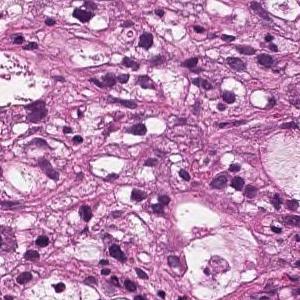
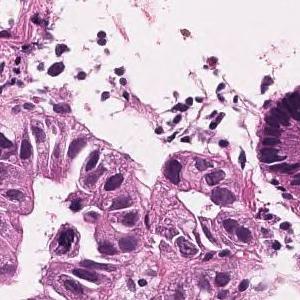
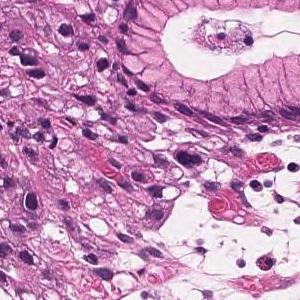
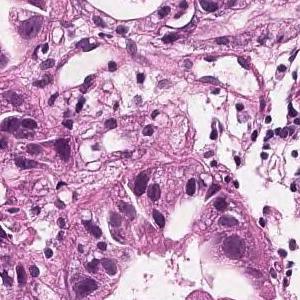
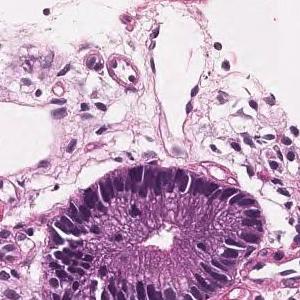
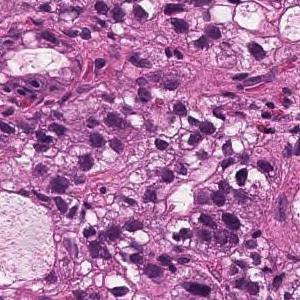
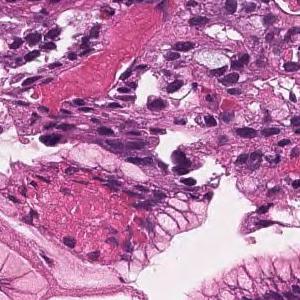
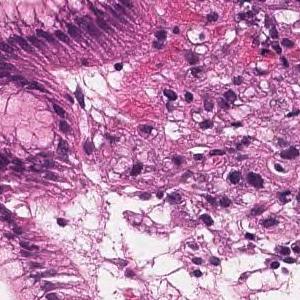
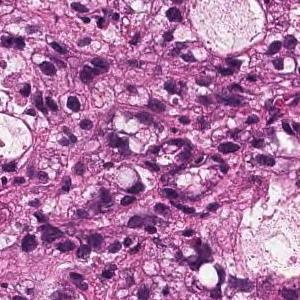
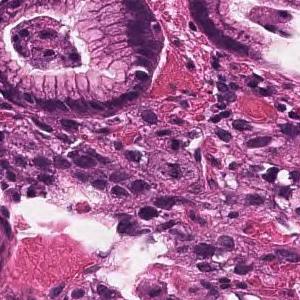
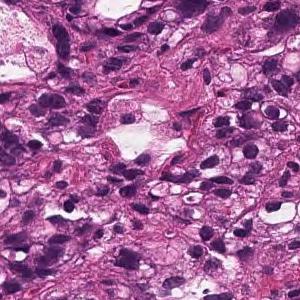
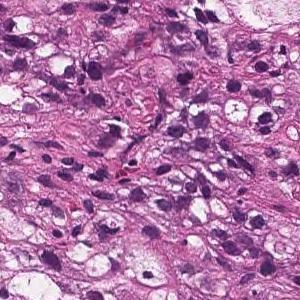
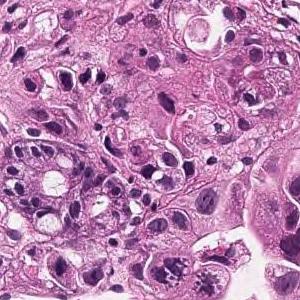
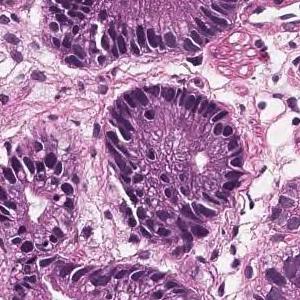
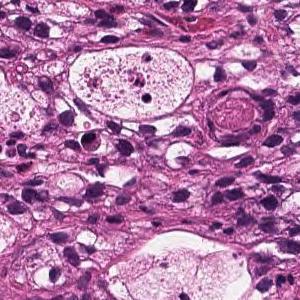
15 patches cut from one gastric biopsy slide, H&E stain, ×20.
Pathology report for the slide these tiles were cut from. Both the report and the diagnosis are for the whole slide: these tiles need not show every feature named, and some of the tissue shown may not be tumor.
Medium to small, irregular glandular ducts are formed in the superficial epithelium, and in some cases, the glandular ducts are fused to show solid alveolar lesions and infiltrating tumor tissue is observed. Moderately to poorly differentiated adenocarcinoma.
